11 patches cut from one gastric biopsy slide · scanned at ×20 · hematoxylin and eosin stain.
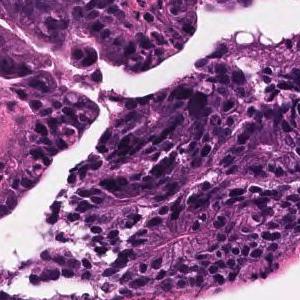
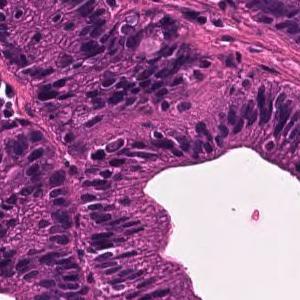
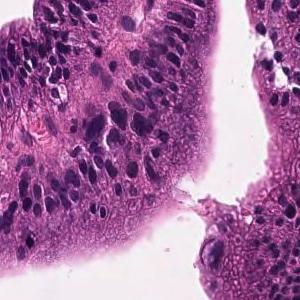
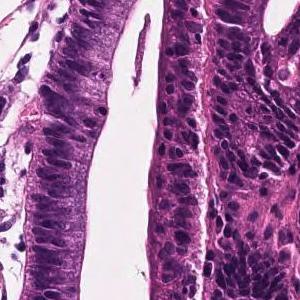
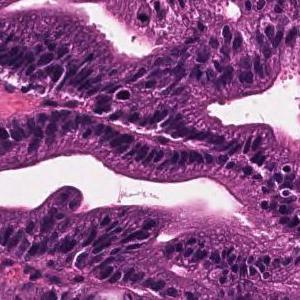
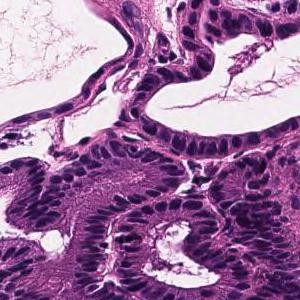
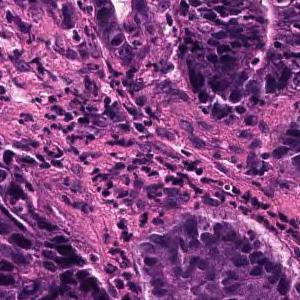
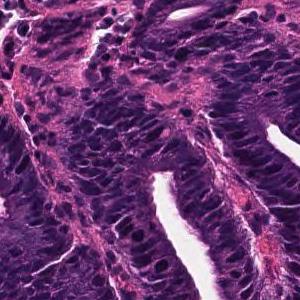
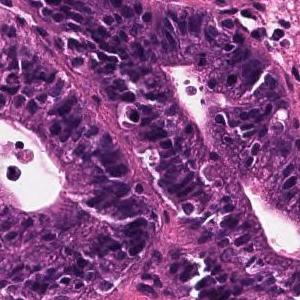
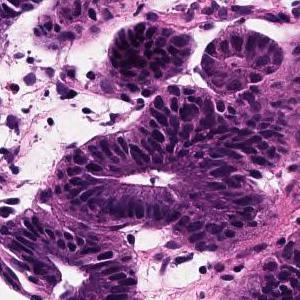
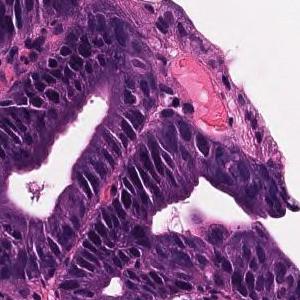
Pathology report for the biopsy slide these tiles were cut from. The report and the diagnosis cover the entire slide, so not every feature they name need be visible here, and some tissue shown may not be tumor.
Tumor tissue that remains within the superficial epithelium and is infiltrated by large papillary or irregular ducts that fuse with each other is observed. Well differentiated tubular adenocarcinoma
